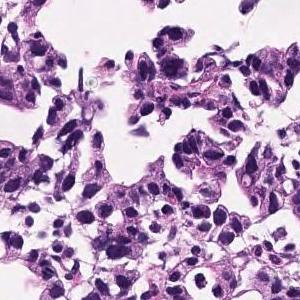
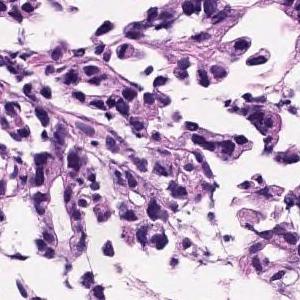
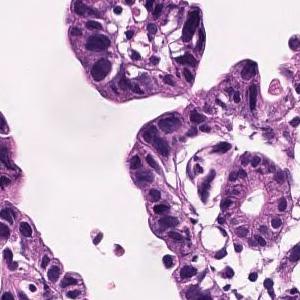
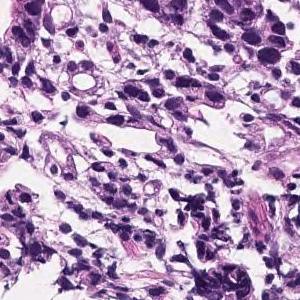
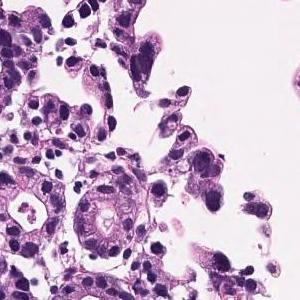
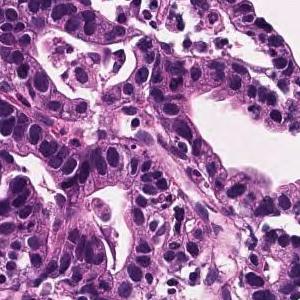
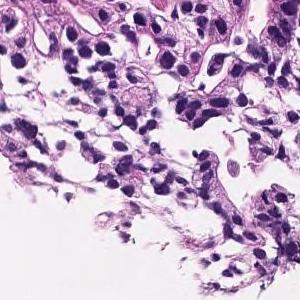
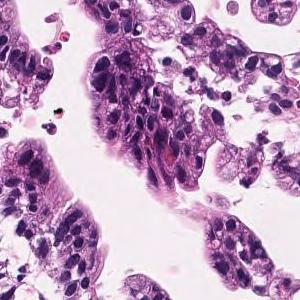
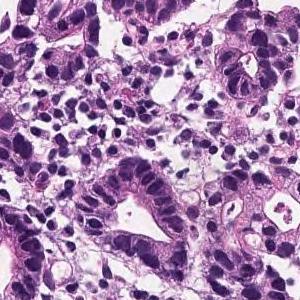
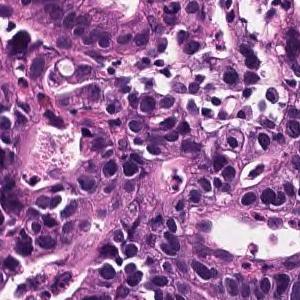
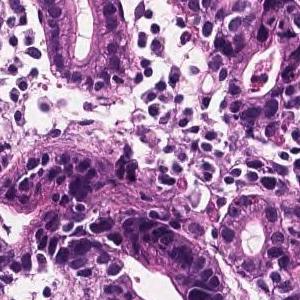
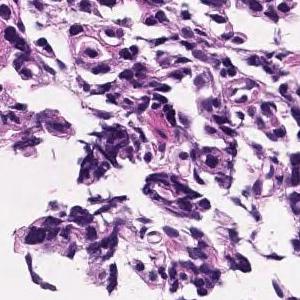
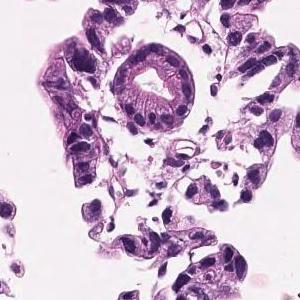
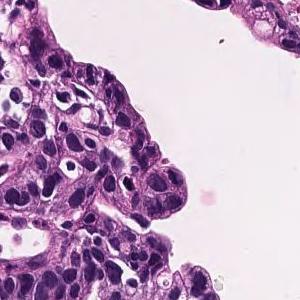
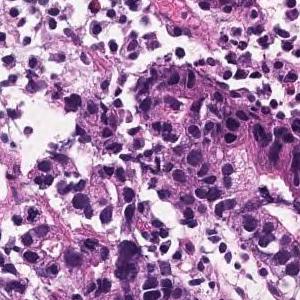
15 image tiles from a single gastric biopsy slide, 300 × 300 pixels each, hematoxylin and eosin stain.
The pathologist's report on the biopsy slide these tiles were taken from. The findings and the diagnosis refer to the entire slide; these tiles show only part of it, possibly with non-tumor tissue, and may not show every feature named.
On the superficial epithelium, tumor tissue consisting of large, irregular glandular ducts partially fused and infiltrated is observed. Well to moderately differentiated tubular adenocarcinoma (well differentiated tubular adenocarcinoma, moderately differentiated tubular adenocarcinoma)
Subtype: Well to moderately differentiated tubular adenocarcinoma.
